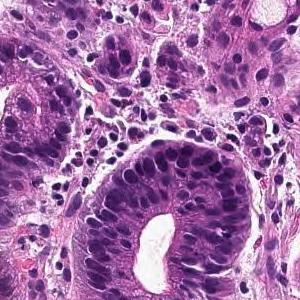
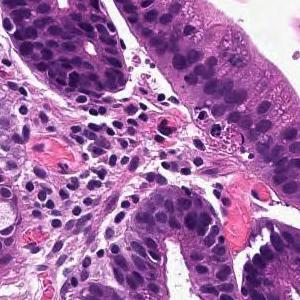
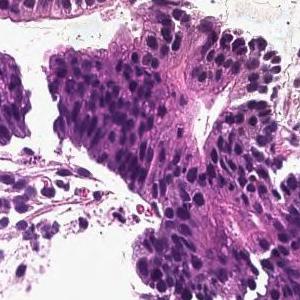
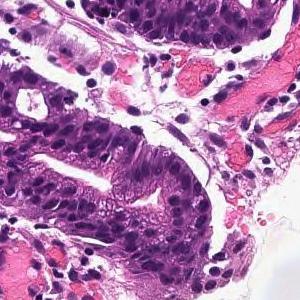
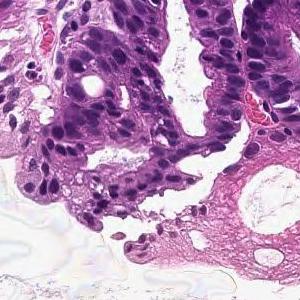
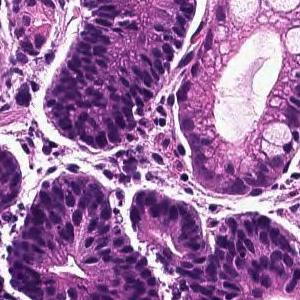
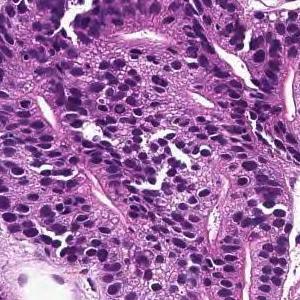
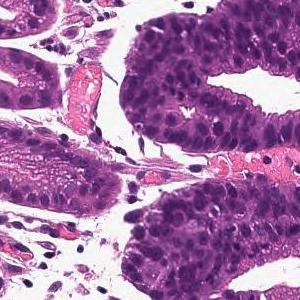
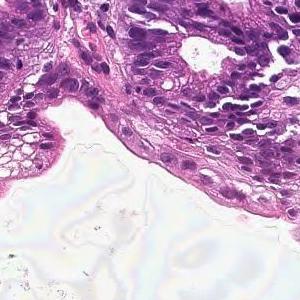
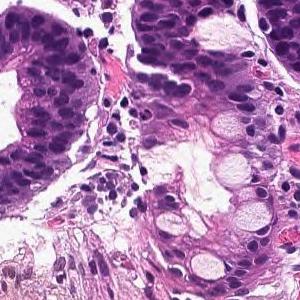
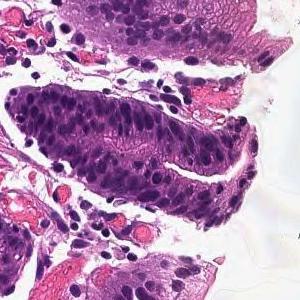
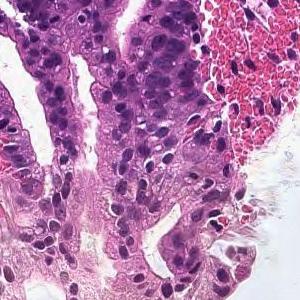
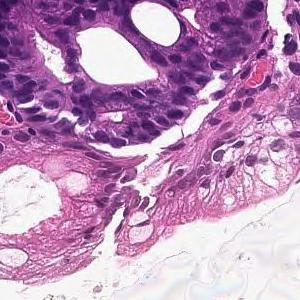
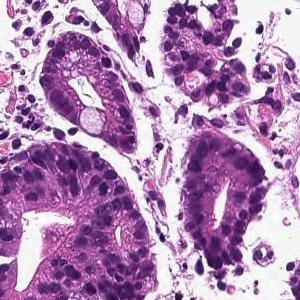
Scanned at ×20; hematoxylin and eosin stain; 14 patches cut from one gastric biopsy slide; 300×300 px each.
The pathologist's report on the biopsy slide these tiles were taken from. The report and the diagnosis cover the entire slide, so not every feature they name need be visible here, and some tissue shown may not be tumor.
From the superficial epithelium to the muscularis mucosae, tumor tissue consisting of medium-sized and irregular glandular ducts infiltrating is observed. Well differentiated tubular adenocarcinoma
